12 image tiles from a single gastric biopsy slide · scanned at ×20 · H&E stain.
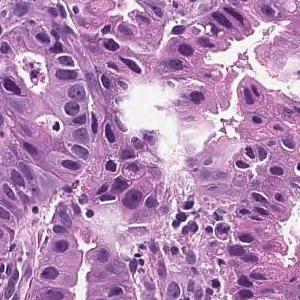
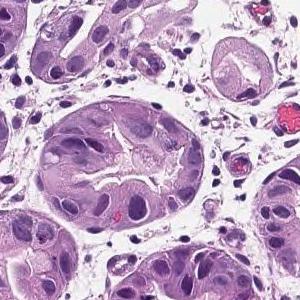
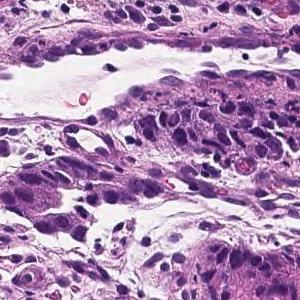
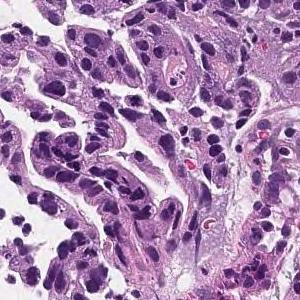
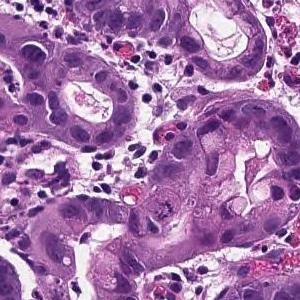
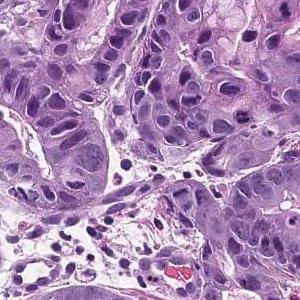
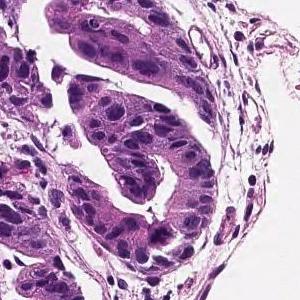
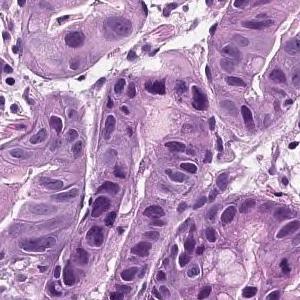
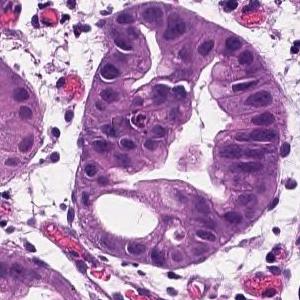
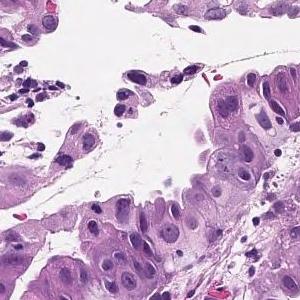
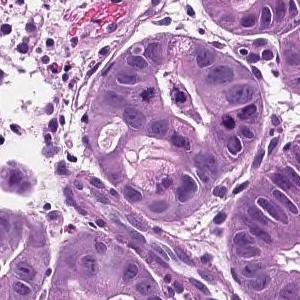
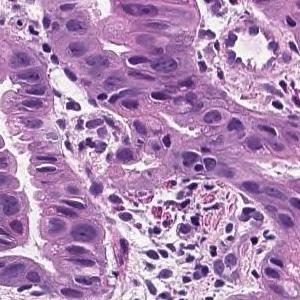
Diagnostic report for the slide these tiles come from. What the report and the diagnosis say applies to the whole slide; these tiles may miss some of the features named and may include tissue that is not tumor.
On the superficial epithelium, tumor tissue that infiltrates by forming medium-sized papillary or small irregular ducts is observed. Papillary adenocarcinoma
